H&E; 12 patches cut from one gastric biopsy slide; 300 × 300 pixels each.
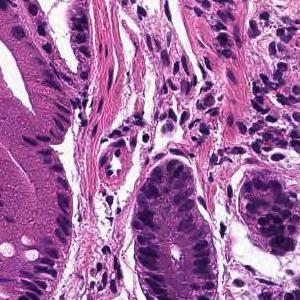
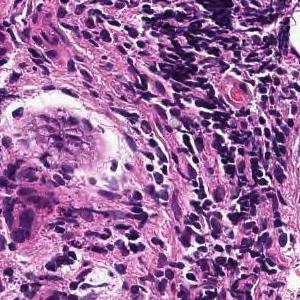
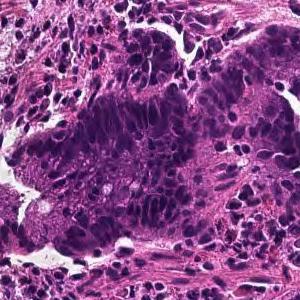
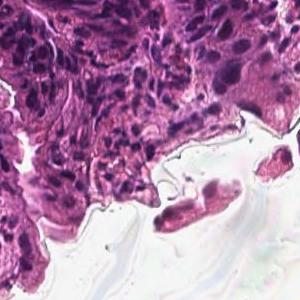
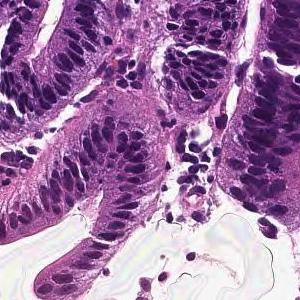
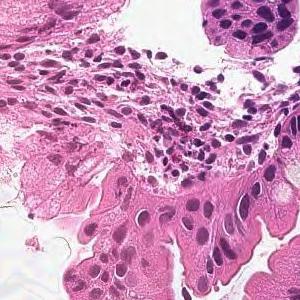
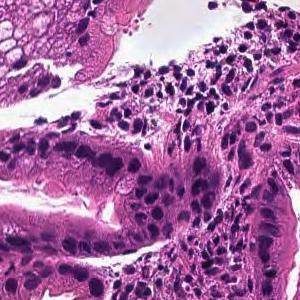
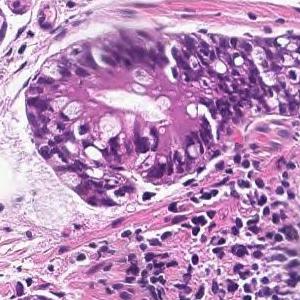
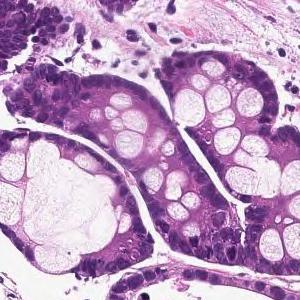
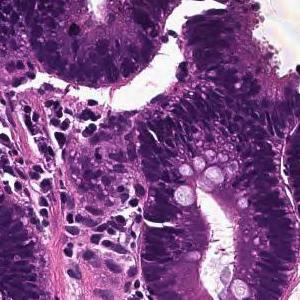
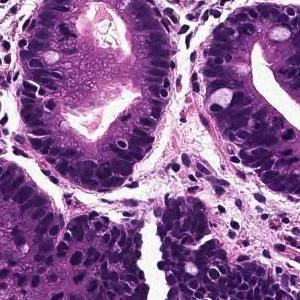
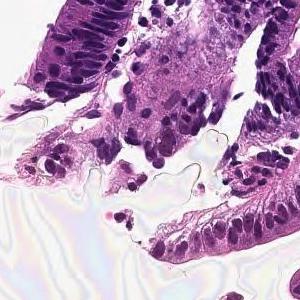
Diagnostic report for the slide these tiles come from. The report describes the whole slide, diagnosis included: not every finding it names need appear in these tiles, which may also show non-tumor tissue.
From the superficial epithelium to the muscularis mucosae, tumor tissue consisting of medium-sized and irregular glandular ducts infiltrating is observed. Well differentiated tubular adenocarcinoma
